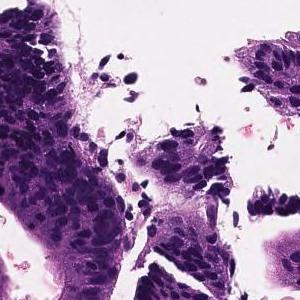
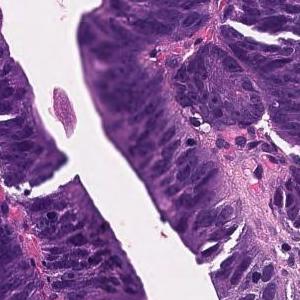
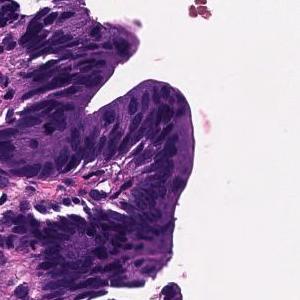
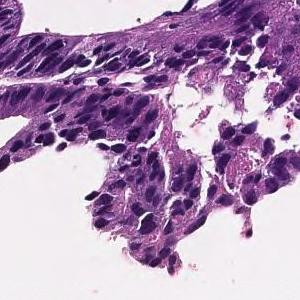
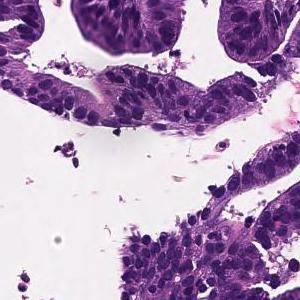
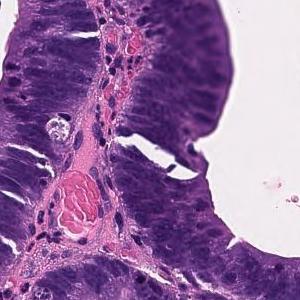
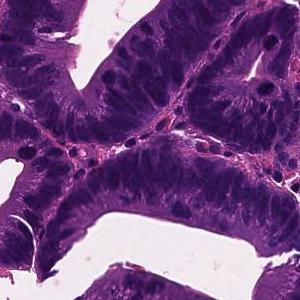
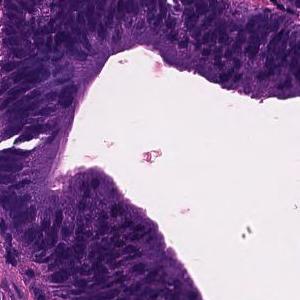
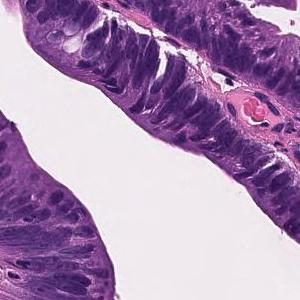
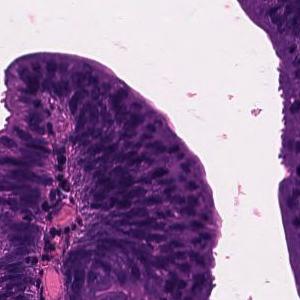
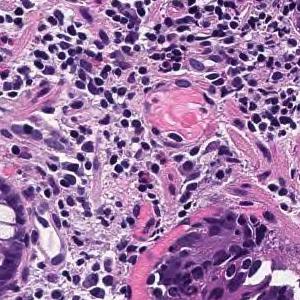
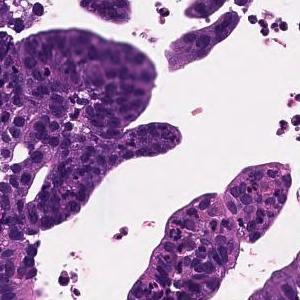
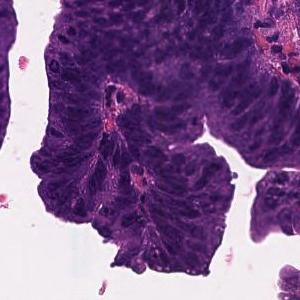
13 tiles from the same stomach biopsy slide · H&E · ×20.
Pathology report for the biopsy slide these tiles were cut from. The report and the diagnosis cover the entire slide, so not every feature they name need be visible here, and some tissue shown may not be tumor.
Tumor tissue consisting of large papillary structures is found in the superficial epithelium. Papillary adenocarcinoma.
